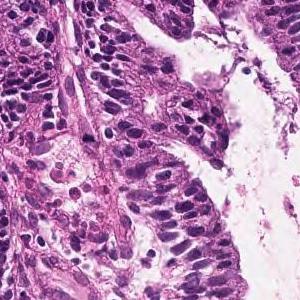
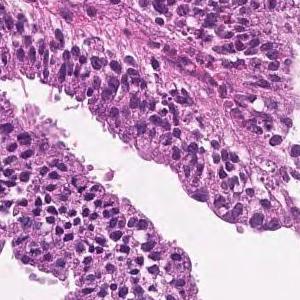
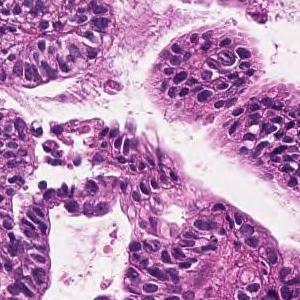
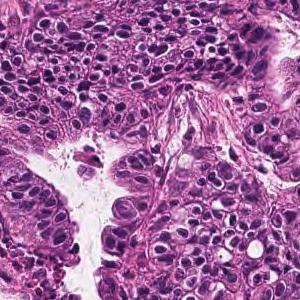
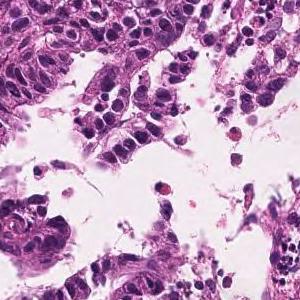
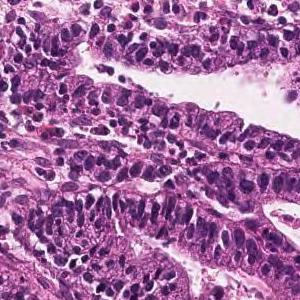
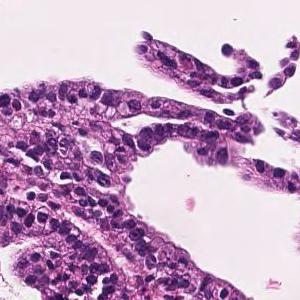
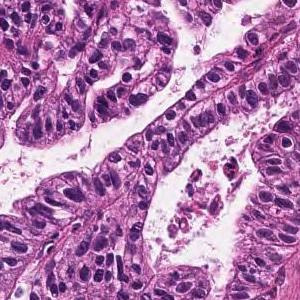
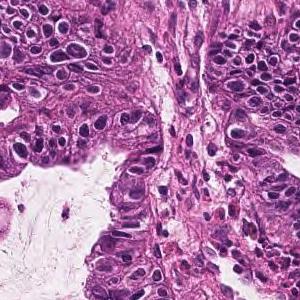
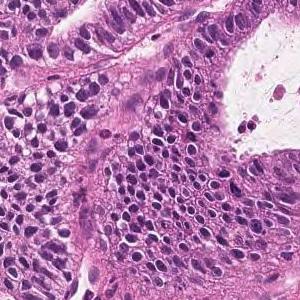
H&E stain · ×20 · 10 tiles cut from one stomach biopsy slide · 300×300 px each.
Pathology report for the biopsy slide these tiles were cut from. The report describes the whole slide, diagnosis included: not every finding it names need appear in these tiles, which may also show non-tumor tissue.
Tumor cells are large, highly columnar, large club-shaped nuclei, and are associated with chromatin aggregation. Papillary adenocarcinoma.
